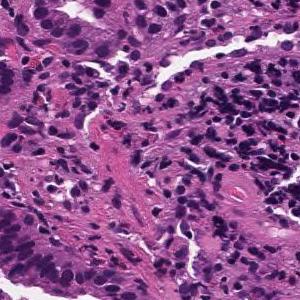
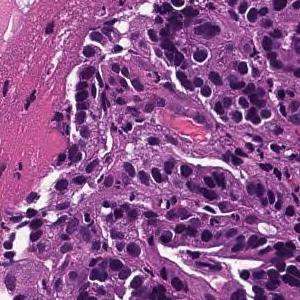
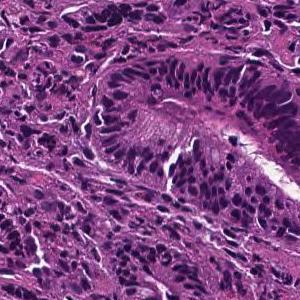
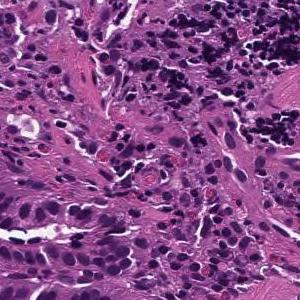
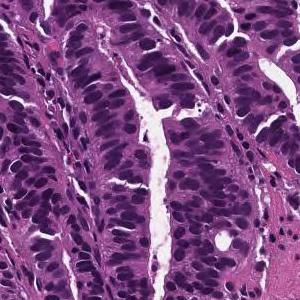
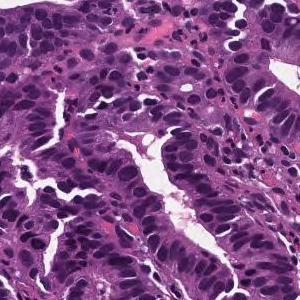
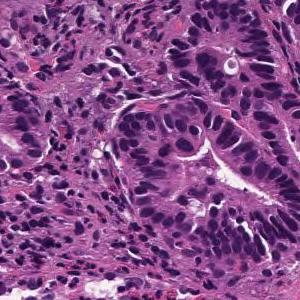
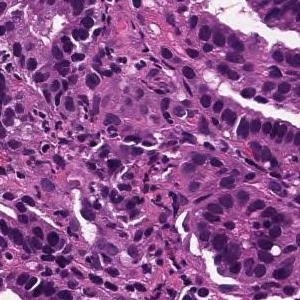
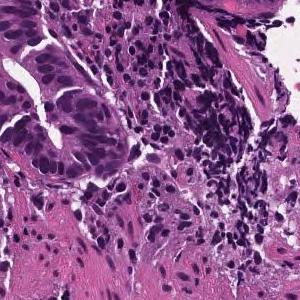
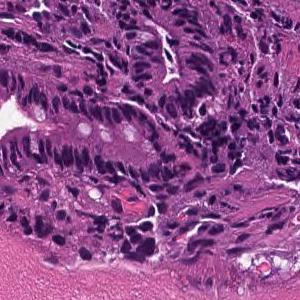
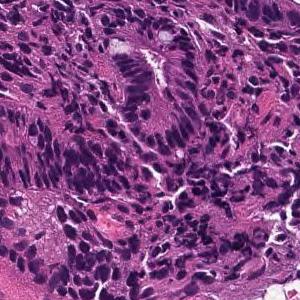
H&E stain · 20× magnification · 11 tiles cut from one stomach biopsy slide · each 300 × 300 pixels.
Pathology report for the slide these tiles were cut from. Both the report and the diagnosis are for the whole slide: these tiles need not show every feature named, and some of the tissue shown may not be tumor.
Tumor cells are large, highly columnar, large club-shaped nuclei, and are associated with chromatin aggregation. Papillary adenocarcinoma.
